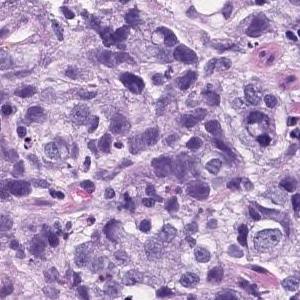
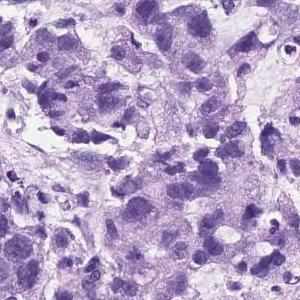
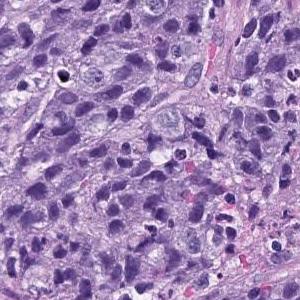
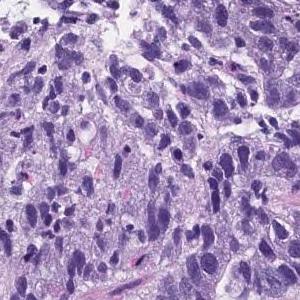
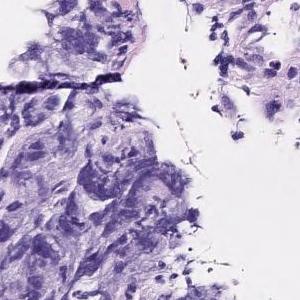
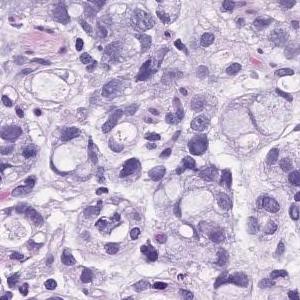
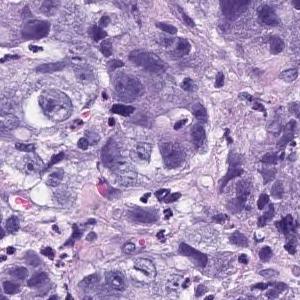
Hematoxylin and eosin stain; 7 patches cut from one gastric biopsy slide.
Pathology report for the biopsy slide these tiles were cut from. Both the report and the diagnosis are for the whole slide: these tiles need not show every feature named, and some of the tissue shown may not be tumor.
Atypical l cells with atypical nuclei forming solid vesicles or small irregular atypical ducts that proliferate in a complex manner. poorly differentiated adenocarcinoma, solid type, moderately differentiated tubular adenocarcinoma
"Solid type" is a category of the Japanese Classification of Gastric Carcinoma; in the WHO 2019 classification it is tubular adenocarcinoma, poorly differentiated.
